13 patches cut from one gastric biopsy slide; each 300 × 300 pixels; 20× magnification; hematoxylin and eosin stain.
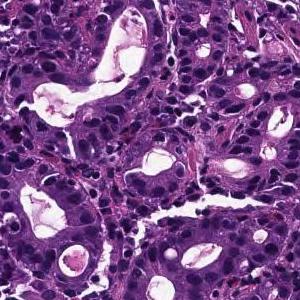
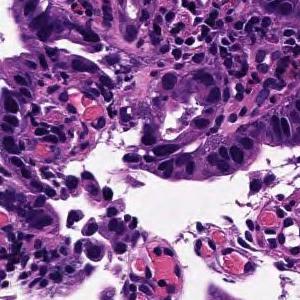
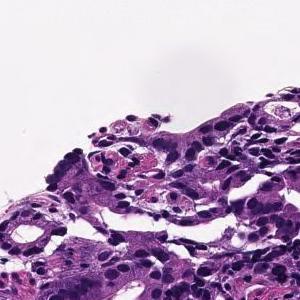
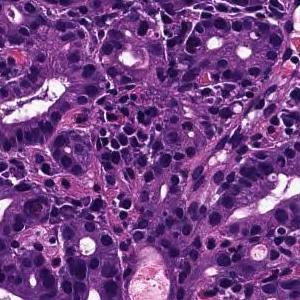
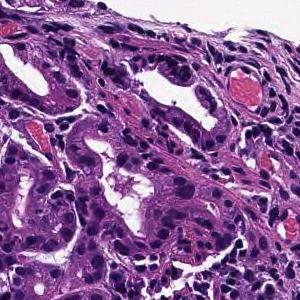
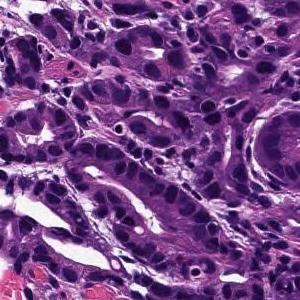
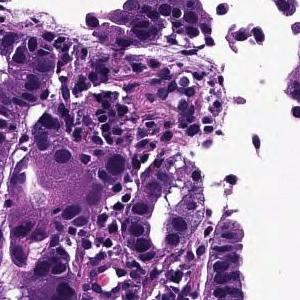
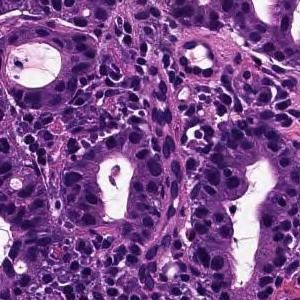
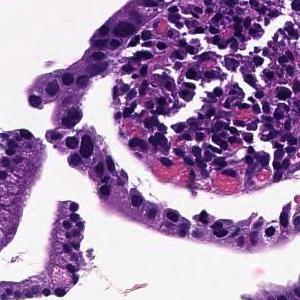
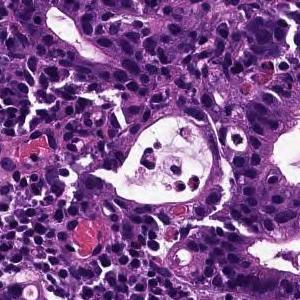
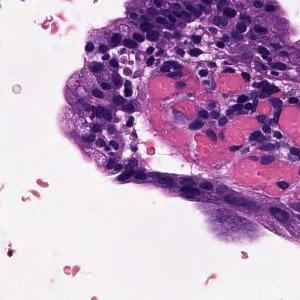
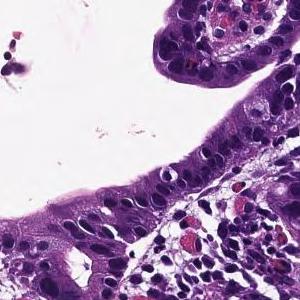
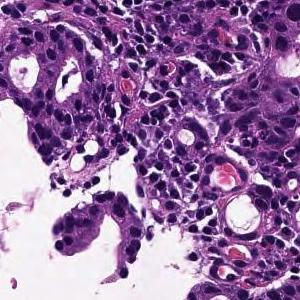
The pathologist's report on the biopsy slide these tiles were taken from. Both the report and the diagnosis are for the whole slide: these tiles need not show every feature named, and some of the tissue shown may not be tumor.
From the superficial epithelium to the muscularis mucosae, tumor tissue consisting of medium-sized and irregular glandular ducts infiltrating is observed. Well differentiated tubular adenocarcinoma
